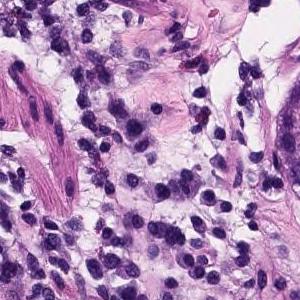
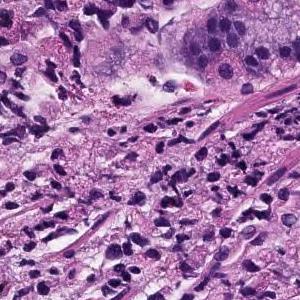
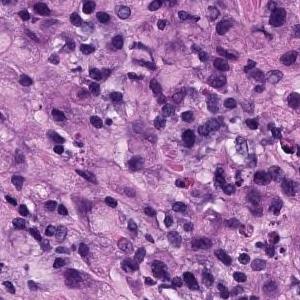
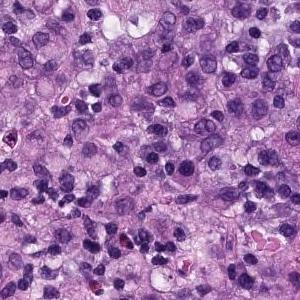
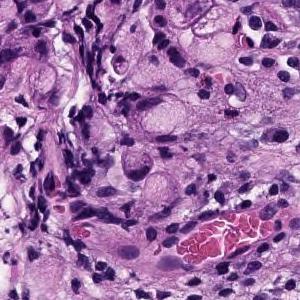
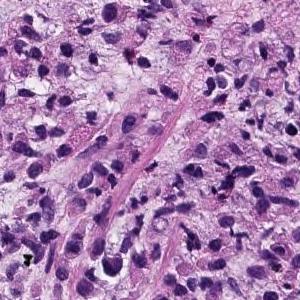
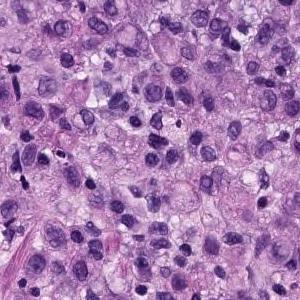
7 patches cut from one gastric biopsy slide · ×20 · hematoxylin and eosin stain.
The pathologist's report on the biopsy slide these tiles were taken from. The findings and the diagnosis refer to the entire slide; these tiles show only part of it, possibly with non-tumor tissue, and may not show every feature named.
The superficial epithelium shows a large sheet-like shape, and some tumor tissue infiltrates with small irregular ducts. Poorly differentiated adenocarcinoma, solid-type
Classified as poorly differentiated adenocarcinoma, solid type, a category of the Japanese Classification of Gastric Carcinoma; in the WHO 2019 classification it is tubular adenocarcinoma, poorly differentiated.
